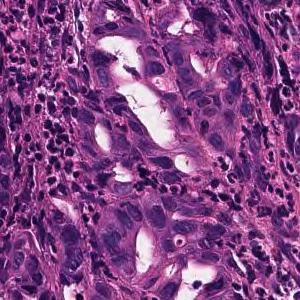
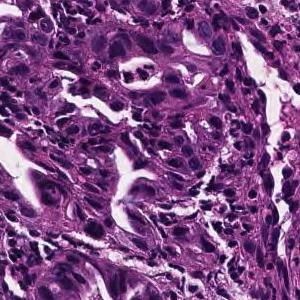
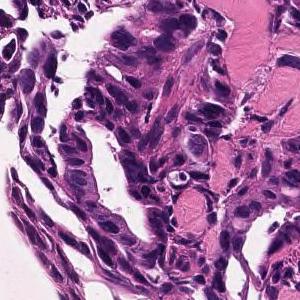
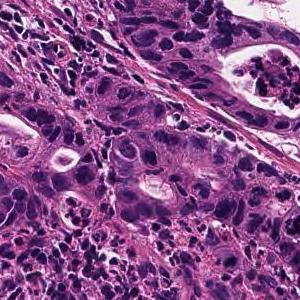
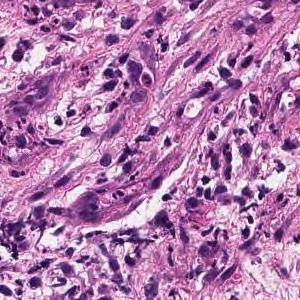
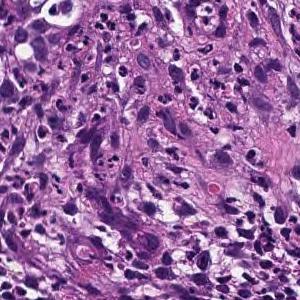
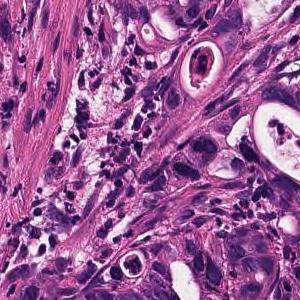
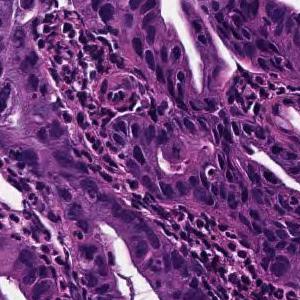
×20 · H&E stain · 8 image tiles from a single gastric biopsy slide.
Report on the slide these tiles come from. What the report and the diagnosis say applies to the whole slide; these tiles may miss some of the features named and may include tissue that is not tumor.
In the superficial epithelium, medium-sized to small irregular glandular ducts are formed, and in some cases, the glandular ducts are fused or small cord-like infiltrating tumor tissue is observed. moderately differentiated tubular adenocarcinoma
